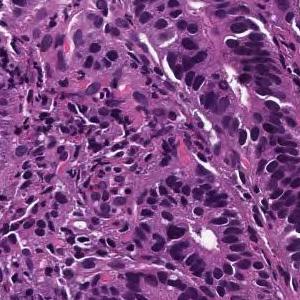
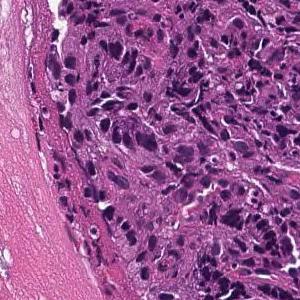
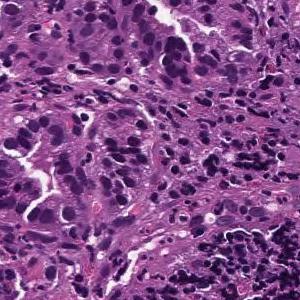
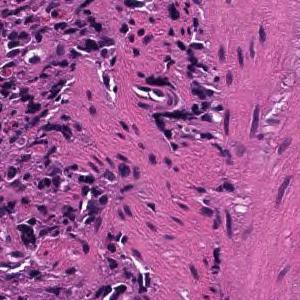
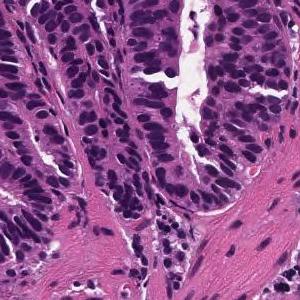
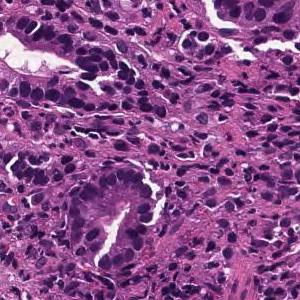
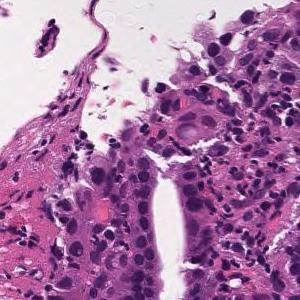
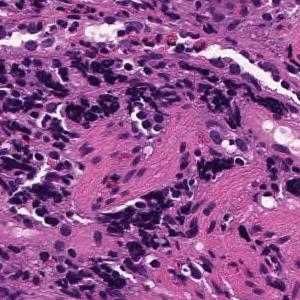
Hematoxylin and eosin stain; ×20; 8 tiles from the same stomach biopsy slide.
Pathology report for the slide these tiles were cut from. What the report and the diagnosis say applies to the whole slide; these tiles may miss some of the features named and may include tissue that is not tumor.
Tumor cells are large, highly columnar, large club-shaped nuclei, and are associated with chromatin aggregation. Papillary adenocarcinoma.
